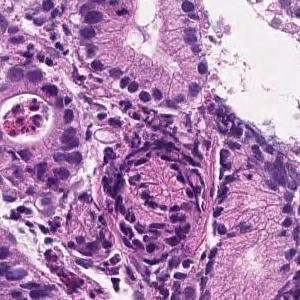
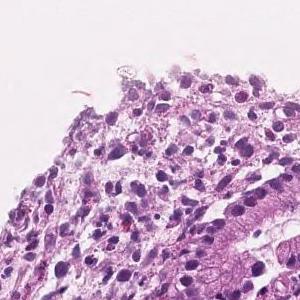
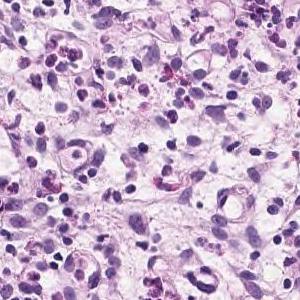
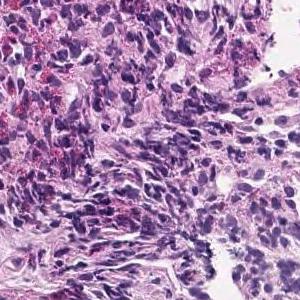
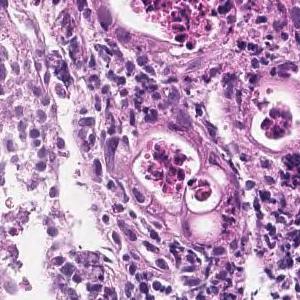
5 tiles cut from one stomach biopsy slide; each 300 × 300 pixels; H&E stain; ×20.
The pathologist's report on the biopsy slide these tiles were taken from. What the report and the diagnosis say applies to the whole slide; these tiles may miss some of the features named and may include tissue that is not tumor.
In the superficial epithelium, tumor tissue that invades by forming medium-sized to small, irregular ducts is observed. moderately differentiated tubular adenocarcinoma.
